9 tiles cut from one stomach biopsy slide; 300×300 px each.
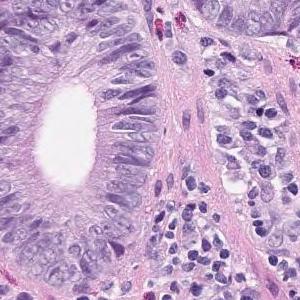
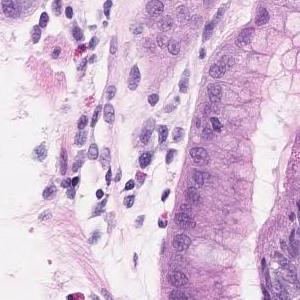
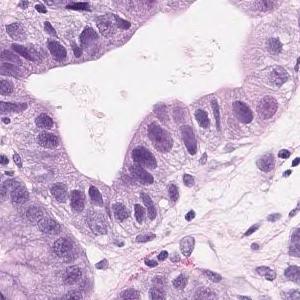
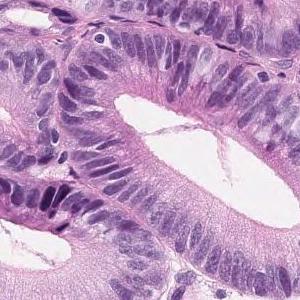
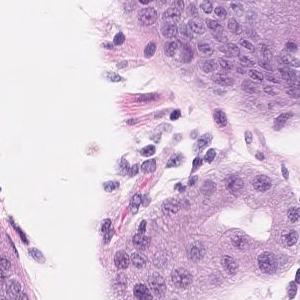
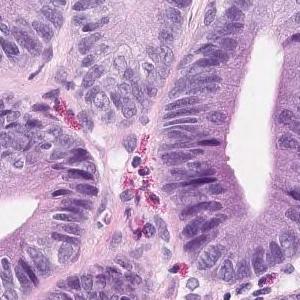
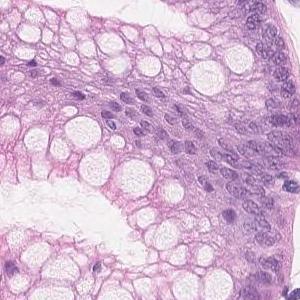
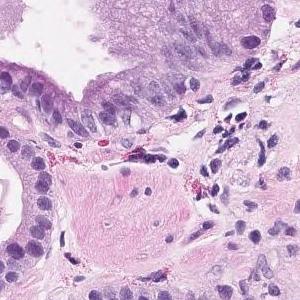
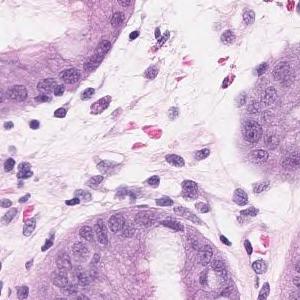
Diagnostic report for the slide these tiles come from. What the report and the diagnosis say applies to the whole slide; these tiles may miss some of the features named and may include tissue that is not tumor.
Short atypical epithelium with swelling of the nucleus shows proliferating, large and small irregular ductal structures. Well to moderately differentiated tubular adenocarcinoma (well differentiated tubular adenocarcinoma-moderately differentiated tubular adenocarcinoma)
Classified as well to moderately differentiated tubular adenocarcinoma.
